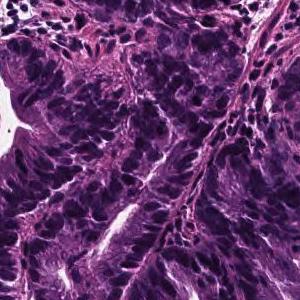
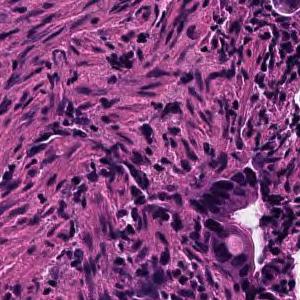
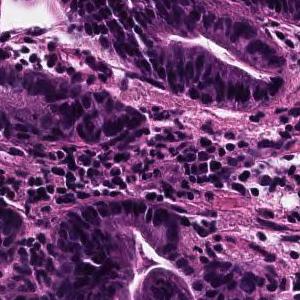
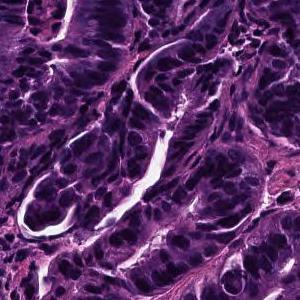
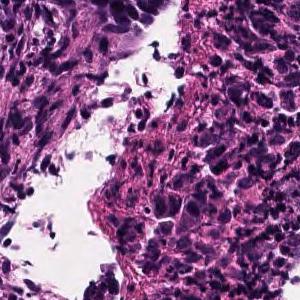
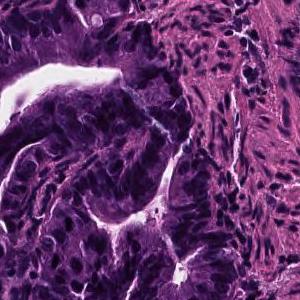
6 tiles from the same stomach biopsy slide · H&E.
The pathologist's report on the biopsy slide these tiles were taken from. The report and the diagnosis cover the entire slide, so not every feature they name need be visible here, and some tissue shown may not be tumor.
On the superficial epithelium, tumor tissue consisting of large, irregular glandular ducts partially fused and infiltrated is observed. Well to moderately differentiated tubular adenocarcinoma (well differentiated tubular adenocarcinoma, moderately differentiated tubular adenocarcinoma)
Histological subtype: Well to moderately differentiated tubular adenocarcinoma.
